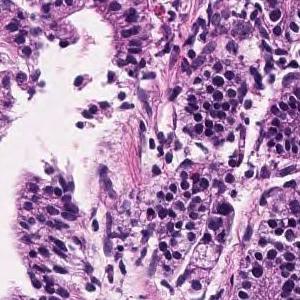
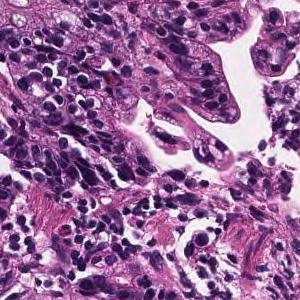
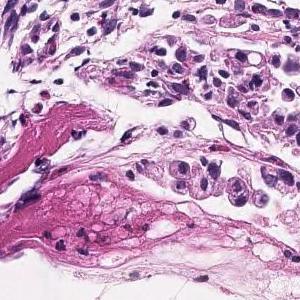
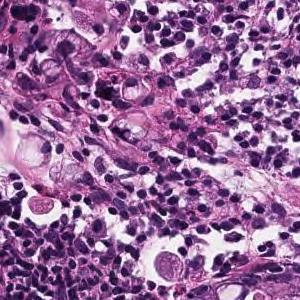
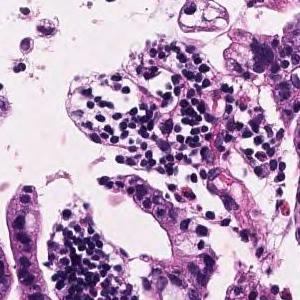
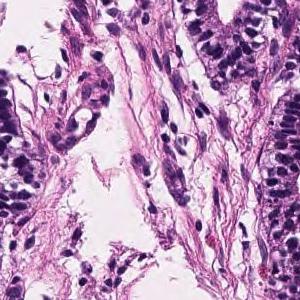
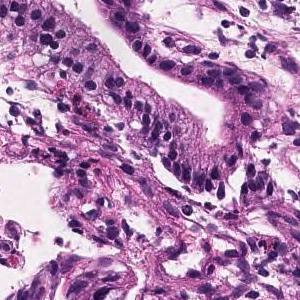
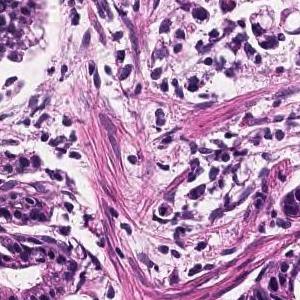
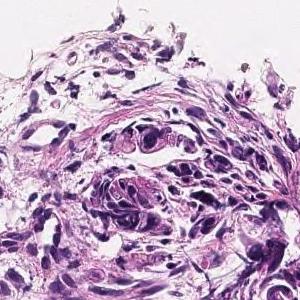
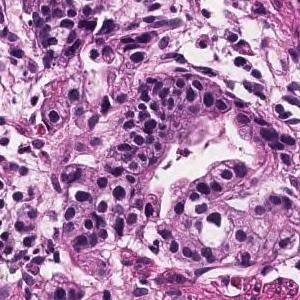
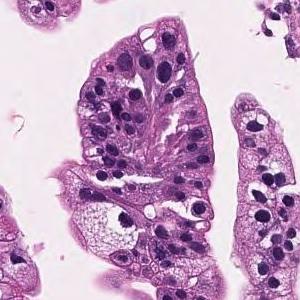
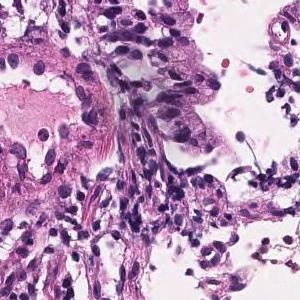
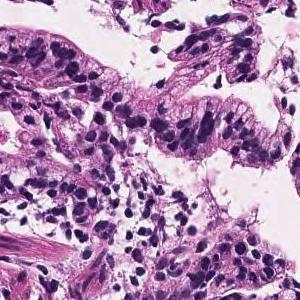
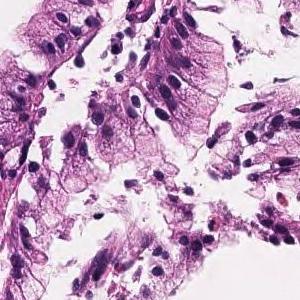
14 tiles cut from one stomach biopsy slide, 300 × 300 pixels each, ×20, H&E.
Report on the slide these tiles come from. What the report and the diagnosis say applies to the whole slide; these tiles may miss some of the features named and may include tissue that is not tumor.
Tumor tissue consisting of large papillary structures or irregular glandular ducts partially fused and infiltrated is observed in the superficial epithelium. Well to moderately differentiated tubular adenocarcinoma.
Labeled in the dataset as moderately differentiated tubular adenocarcinoma.
